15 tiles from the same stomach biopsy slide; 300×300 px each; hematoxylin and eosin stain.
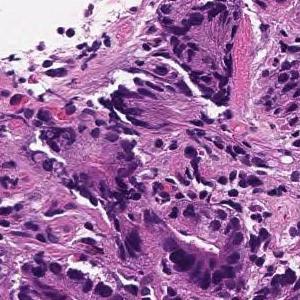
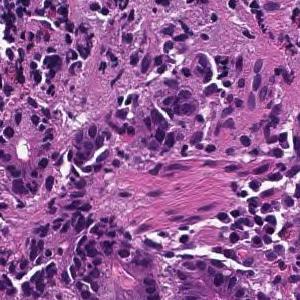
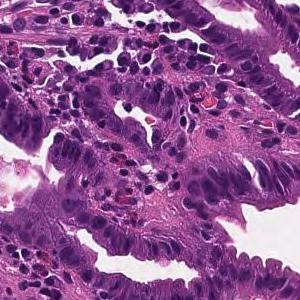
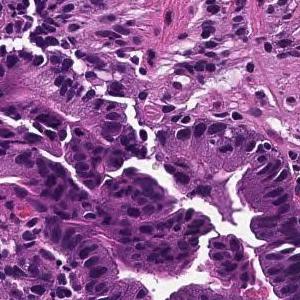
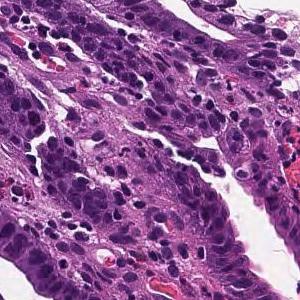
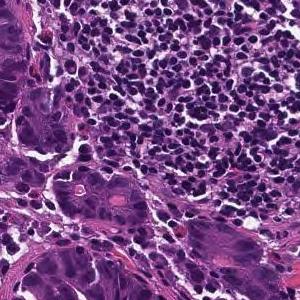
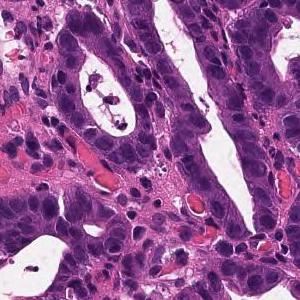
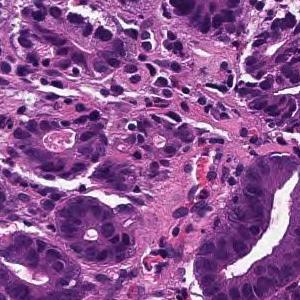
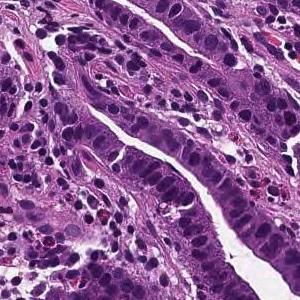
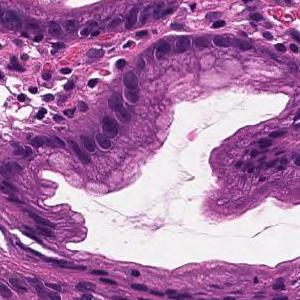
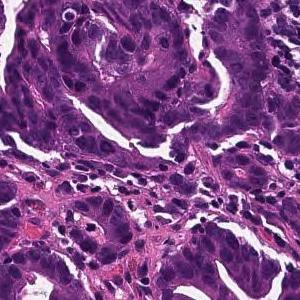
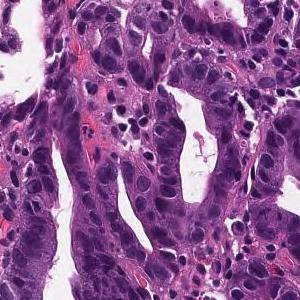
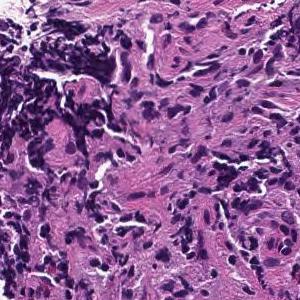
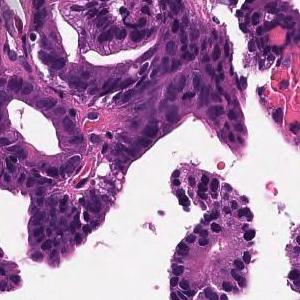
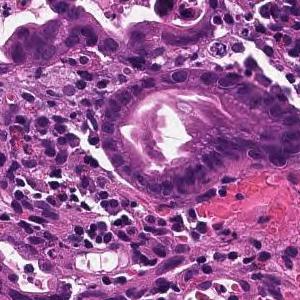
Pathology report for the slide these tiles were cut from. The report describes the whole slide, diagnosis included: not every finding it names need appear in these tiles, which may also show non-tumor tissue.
From the superficial epithelium to the muscularis mucosae, tumor tissue consisting of medium-sized and irregular glandular ducts infiltrating is observed. Well differentiated tubular adenocarcinoma
